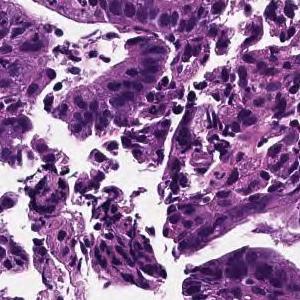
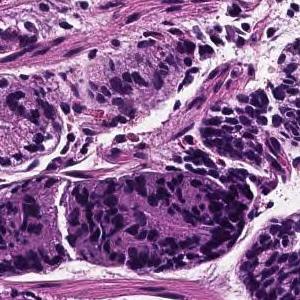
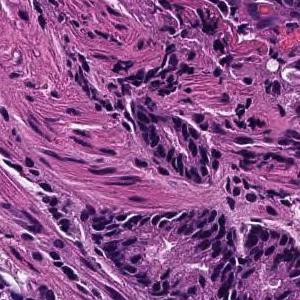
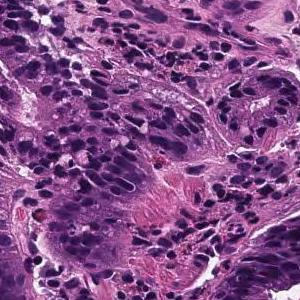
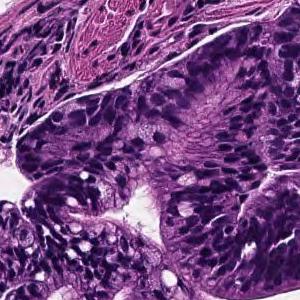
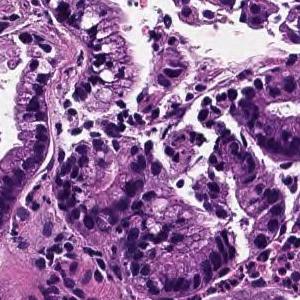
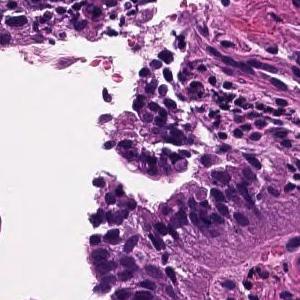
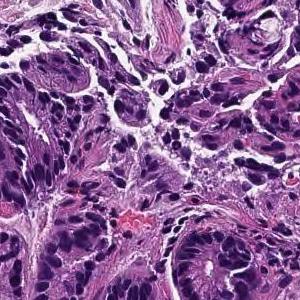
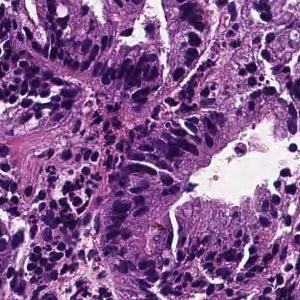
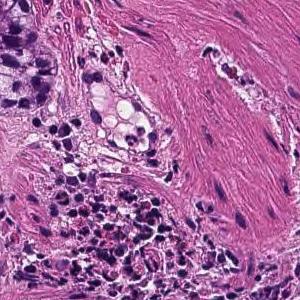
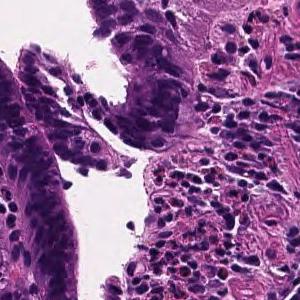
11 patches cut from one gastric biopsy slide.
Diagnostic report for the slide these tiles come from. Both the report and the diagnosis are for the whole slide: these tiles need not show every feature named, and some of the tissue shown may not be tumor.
From the superficial epithelium to the muscularis mucosae, tumor tissue consisting of medium-sized and irregular glandular ducts infiltrating is observed. Well differentiated tubular adenocarcinoma
